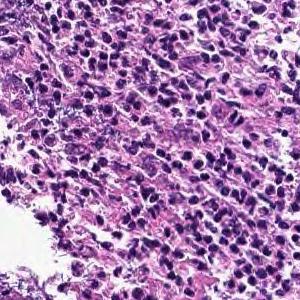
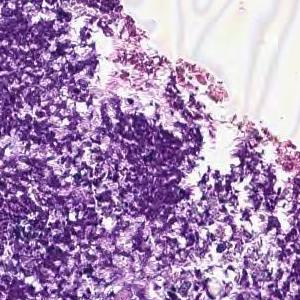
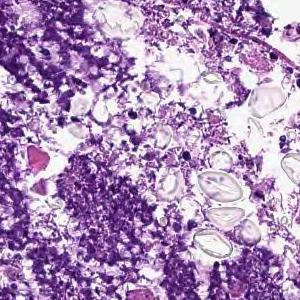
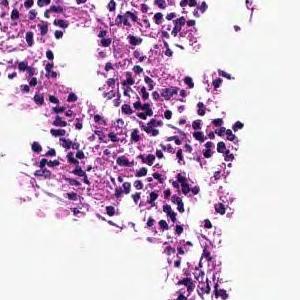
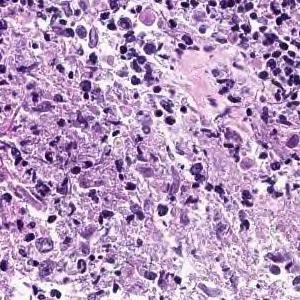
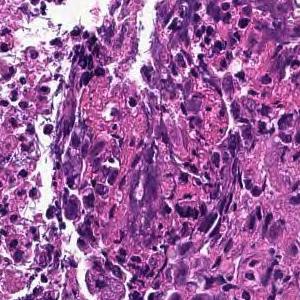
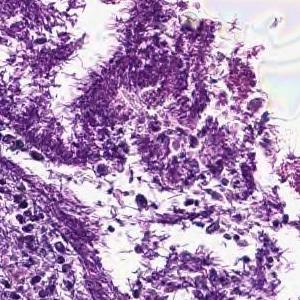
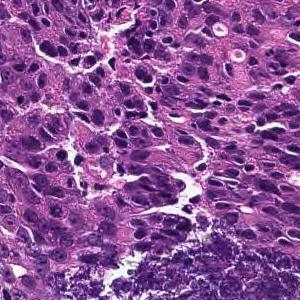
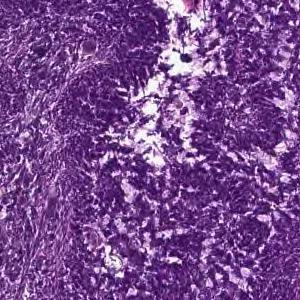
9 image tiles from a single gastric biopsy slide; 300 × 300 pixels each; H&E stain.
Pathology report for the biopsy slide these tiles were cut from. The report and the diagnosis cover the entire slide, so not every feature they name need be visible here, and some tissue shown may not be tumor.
Cancers with polygonal nuclei do not show glandular formation and are densely, in part, cord-like and proliferate. Poorly differentiated adenocarcinoma
Histological subtype: Poorly differentiated adenocarcinoma, non-solid type.
The non-solid type named here is a Japanese Classification of Gastric Carcinoma category.
